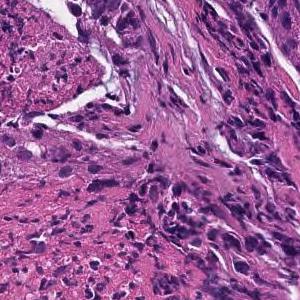
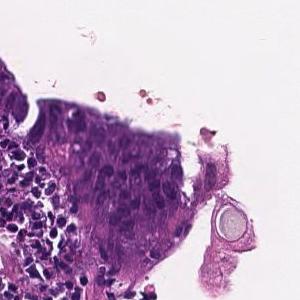
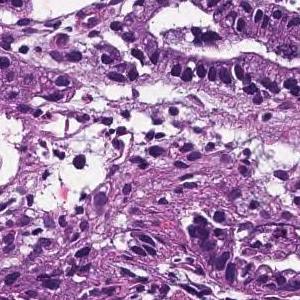
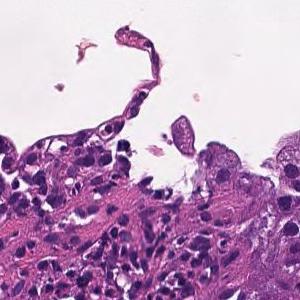
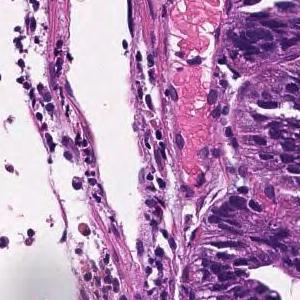
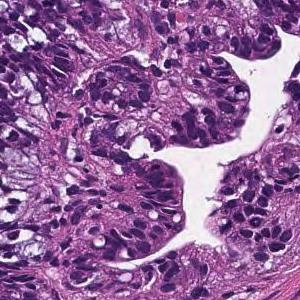
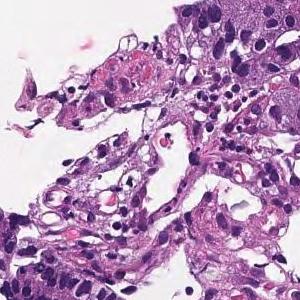
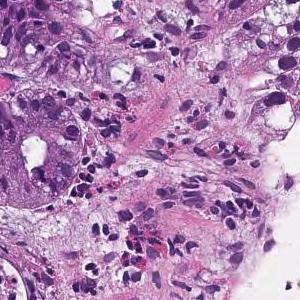
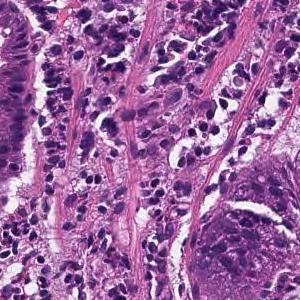
Scanned at ×20 · H&E stain · 9 image tiles from a single gastric biopsy slide · 300 × 300 pixels each.
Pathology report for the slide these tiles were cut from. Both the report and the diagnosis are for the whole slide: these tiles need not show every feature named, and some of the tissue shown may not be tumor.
From the superficial epithelium to the muscularis mucosae, tumor tissue consisting of medium-sized and irregular glandular ducts infiltrating is observed. Well differentiated tubular adenocarcinoma
